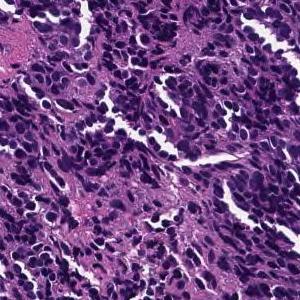
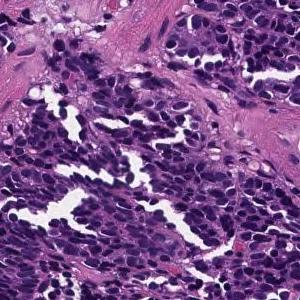
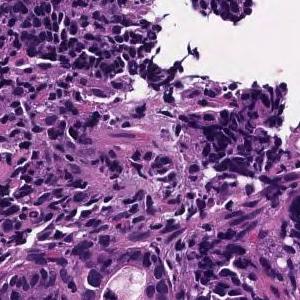
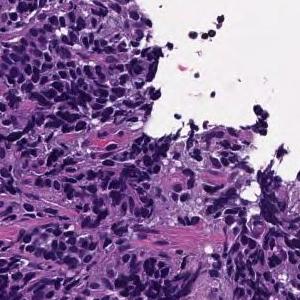
×20 · hematoxylin and eosin stain · 4 tiles cut from one stomach biopsy slide.
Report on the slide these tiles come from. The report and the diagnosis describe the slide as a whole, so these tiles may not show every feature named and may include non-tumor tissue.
Tumor tissue consisting of medium-sized, cord-like or irregular glandular infiltration is observed in the superficial epithelium. Poorly differentiated adenocarcinoma, non-solid type or moderately differentiated tubular adenocarcinoma
Classified as moderately to poorly differentiated adenocarcinoma.
The term "non-solid type" comes from the Japanese Classification of Gastric Carcinoma.
